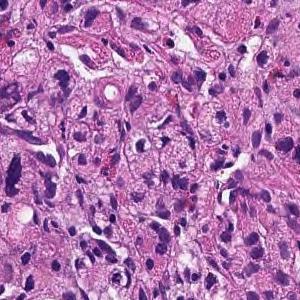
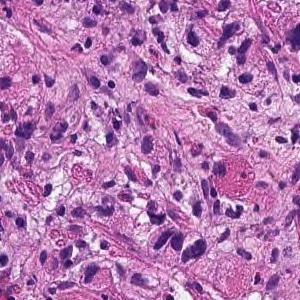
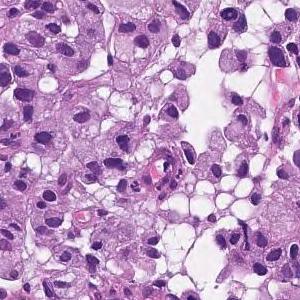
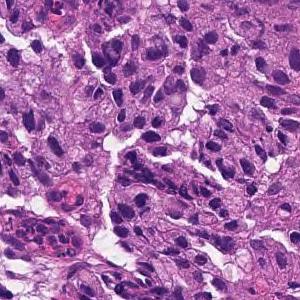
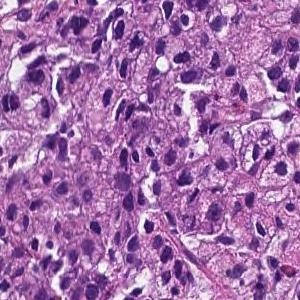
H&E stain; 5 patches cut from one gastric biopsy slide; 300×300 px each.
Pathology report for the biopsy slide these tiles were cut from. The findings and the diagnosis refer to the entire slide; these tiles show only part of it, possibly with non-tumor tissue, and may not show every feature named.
In the lamina propria, a tumor tissue consisting of signet ring cell type atypical epithelial cells infiltrating is observed. Signet ring cell carcinoma.
